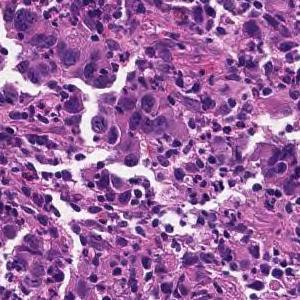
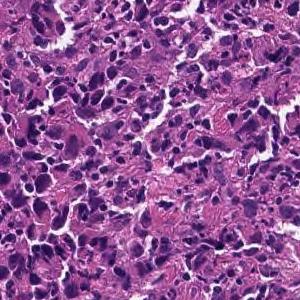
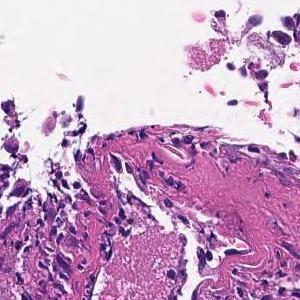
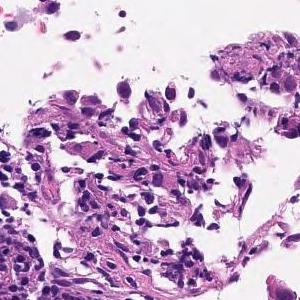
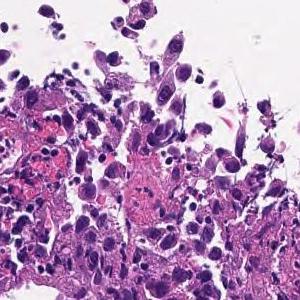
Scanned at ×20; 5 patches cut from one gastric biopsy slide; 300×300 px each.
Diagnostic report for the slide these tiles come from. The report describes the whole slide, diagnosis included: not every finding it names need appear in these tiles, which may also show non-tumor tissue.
The superficial epithelium shows a large sheet-like shape, and some tumor tissue infiltrates with small irregular ducts. Poorly differentiated adenocarcinoma, solid-type (poorly differentiated adenocarcinoma, solid type)
Classified as poorly differentiated adenocarcinoma, solid type, a category of the Japanese Classification of Gastric Carcinoma; in the WHO 2019 classification it is tubular adenocarcinoma, poorly differentiated.
